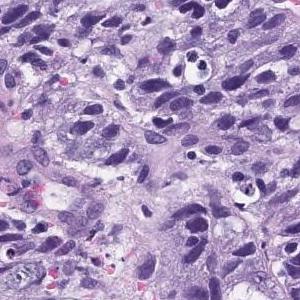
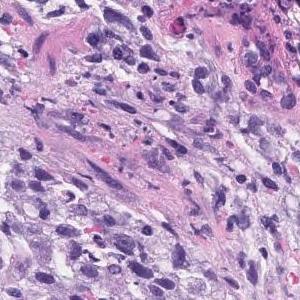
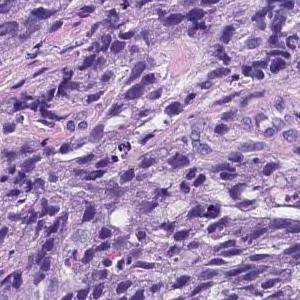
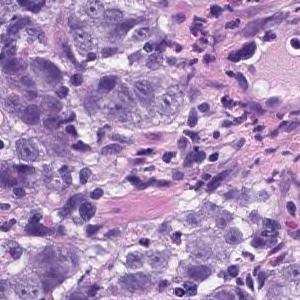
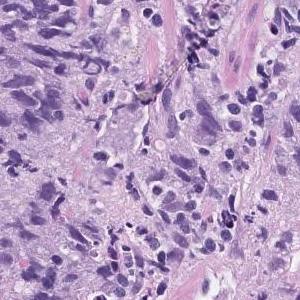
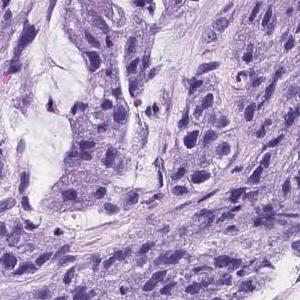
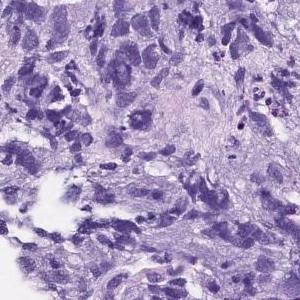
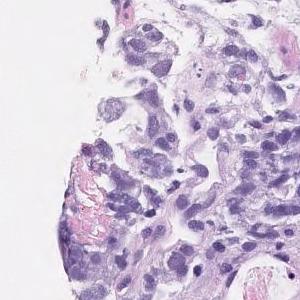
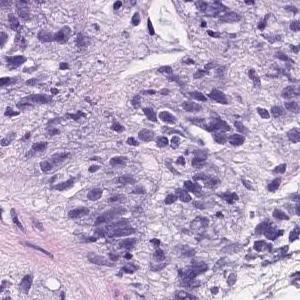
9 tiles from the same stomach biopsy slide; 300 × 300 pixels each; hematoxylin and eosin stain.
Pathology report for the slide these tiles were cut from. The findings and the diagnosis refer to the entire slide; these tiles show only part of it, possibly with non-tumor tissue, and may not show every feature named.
Atypical l cells with atypical nuclei forming solid vesicles or small irregular atypical ducts that proliferate in a complex manner. poorly differentiated adenocarcinoma, solid type, moderately differentiated tubular adenocarcinoma
The solid type named here is a Japanese Classification of Gastric Carcinoma category; WHO 2019 calls it tubular adenocarcinoma, poorly differentiated.
